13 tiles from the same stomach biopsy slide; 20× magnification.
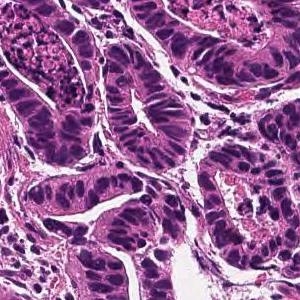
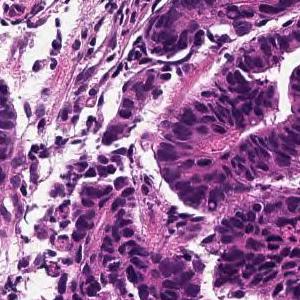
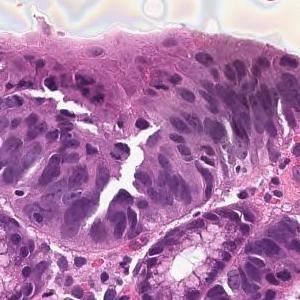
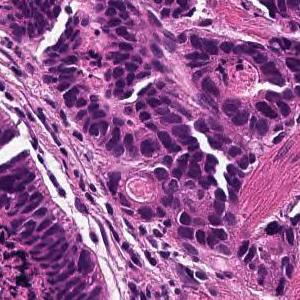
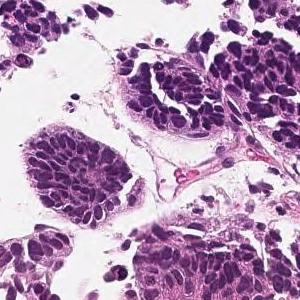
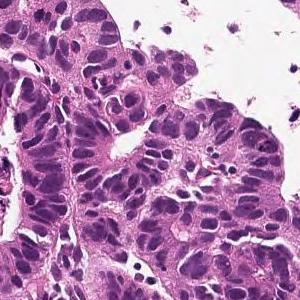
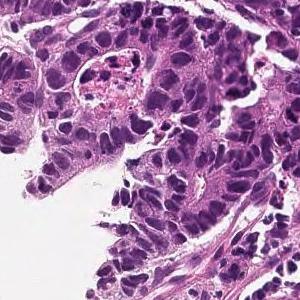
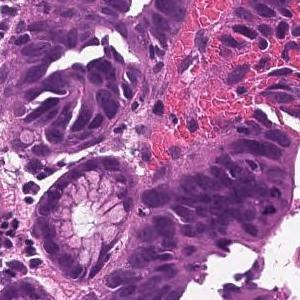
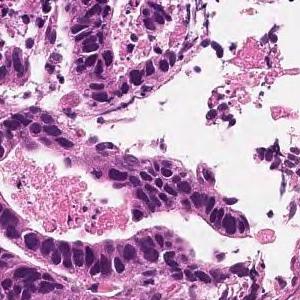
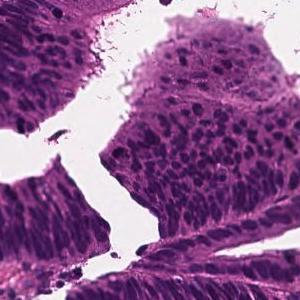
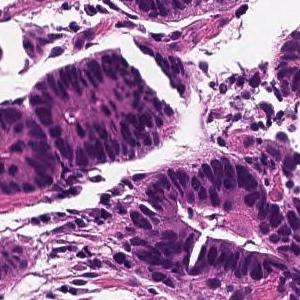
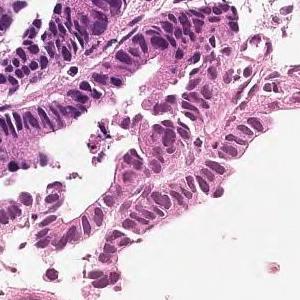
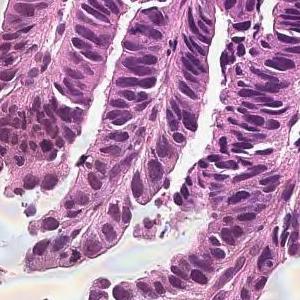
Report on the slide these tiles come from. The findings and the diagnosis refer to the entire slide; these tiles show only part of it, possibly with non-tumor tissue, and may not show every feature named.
From the superficial epithelium to the muscularis mucosae, tumor tissue consisting of medium-sized and irregular glandular ducts infiltrating is observed. Well differentiated tubular adenocarcinoma
